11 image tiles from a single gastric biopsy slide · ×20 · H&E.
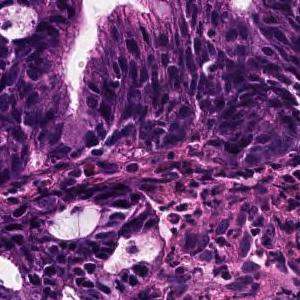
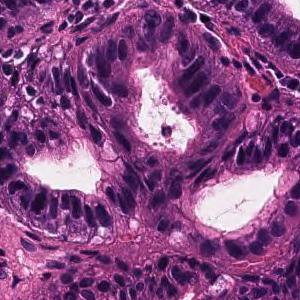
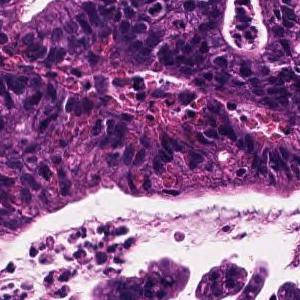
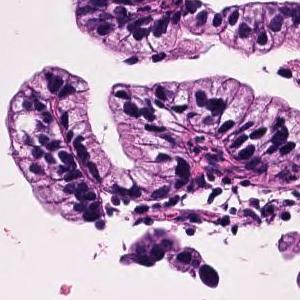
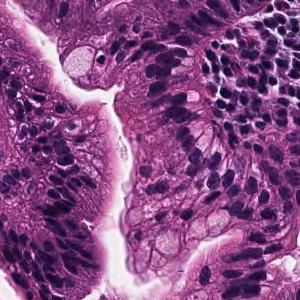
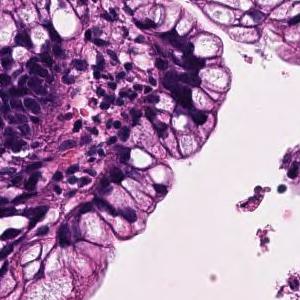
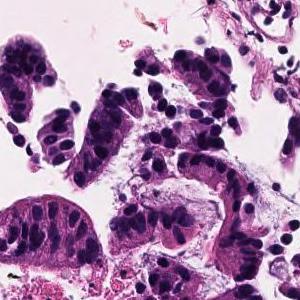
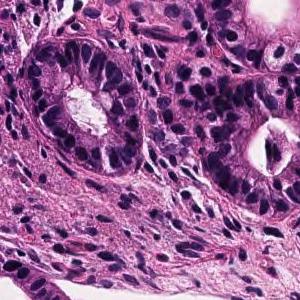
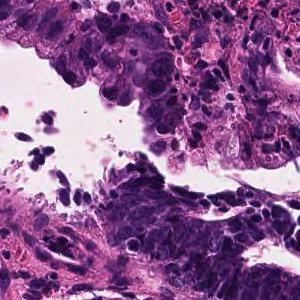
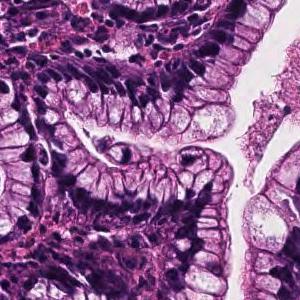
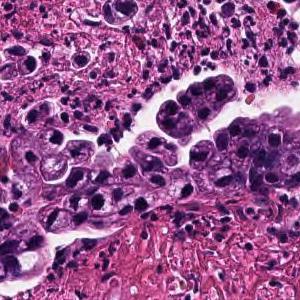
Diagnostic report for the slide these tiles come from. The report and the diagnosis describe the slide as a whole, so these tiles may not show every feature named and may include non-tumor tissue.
Tumor cells are large, highly columnar, large club-shaped nuclei, and are associated with chromatin aggregation. Papillary adenocarcinoma.
